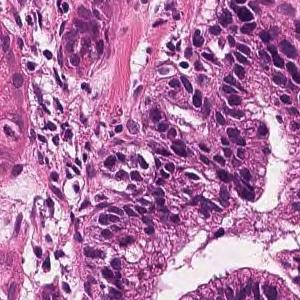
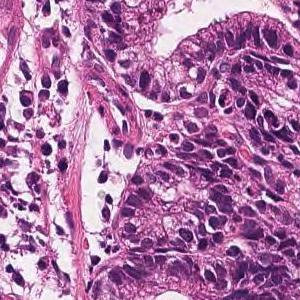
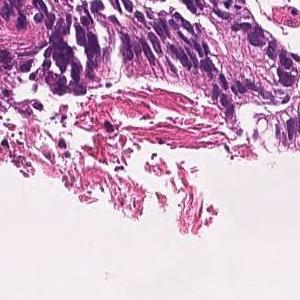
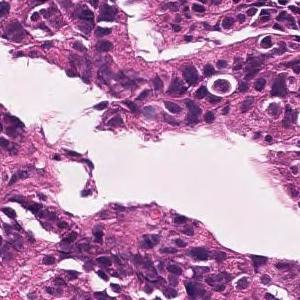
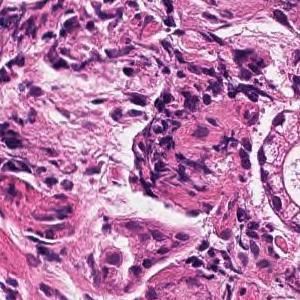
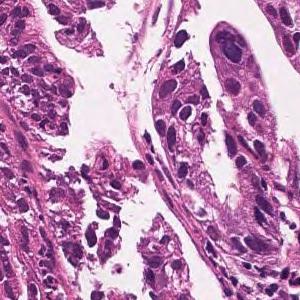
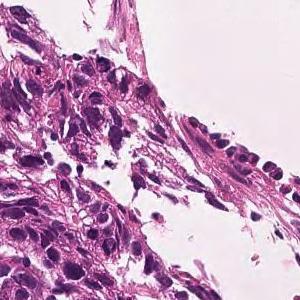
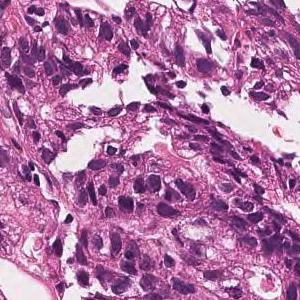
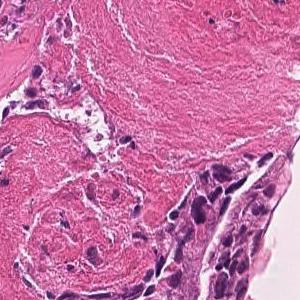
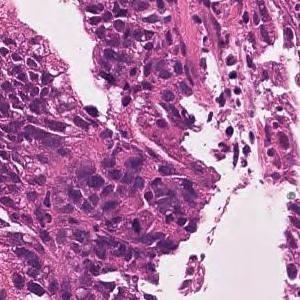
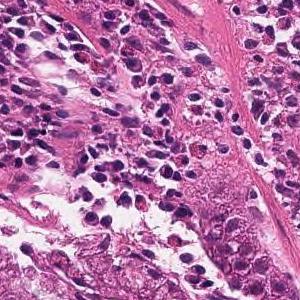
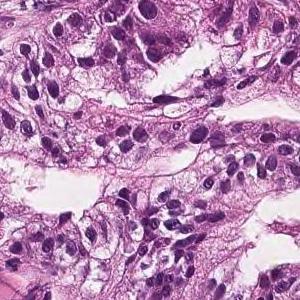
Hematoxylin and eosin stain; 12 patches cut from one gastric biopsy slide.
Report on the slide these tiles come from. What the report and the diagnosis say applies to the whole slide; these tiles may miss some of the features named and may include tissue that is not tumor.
On the superficial epithelium, tumor tissue consisting of large, irregular glandular ducts partially fused and infiltrated is observed. Well to moderately differentiated tubular adenocarcinoma (well differentiated tubular adenocarcinoma, moderately differentiated tubular adenocarcinoma)
Classified as well to moderately differentiated tubular adenocarcinoma.
